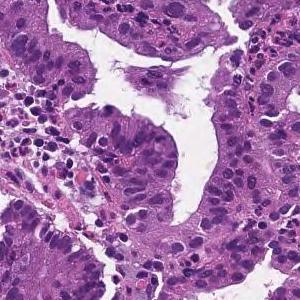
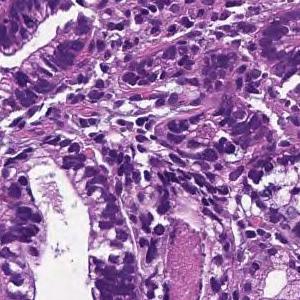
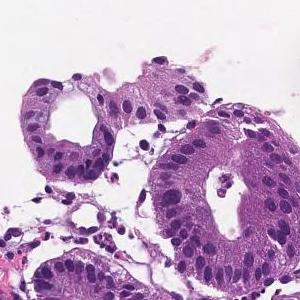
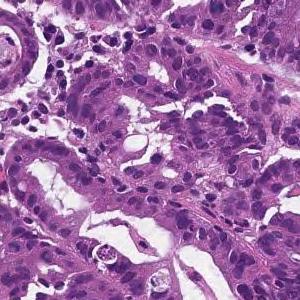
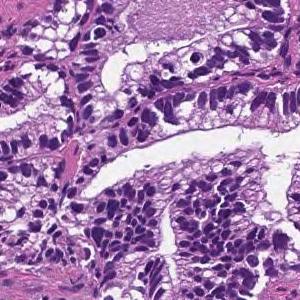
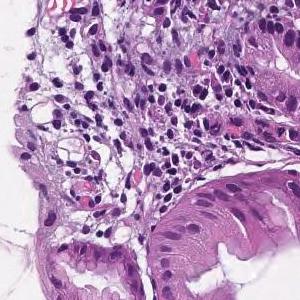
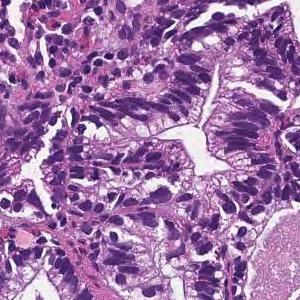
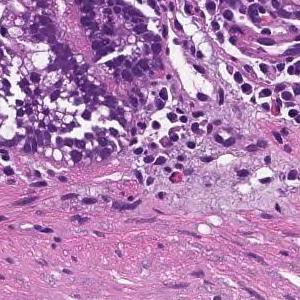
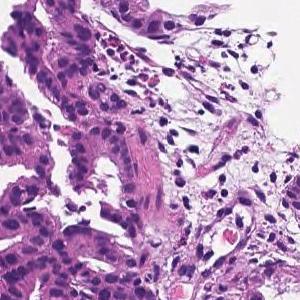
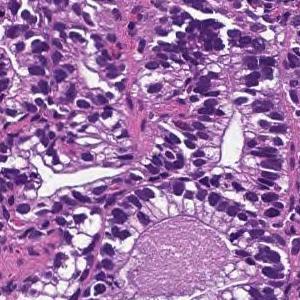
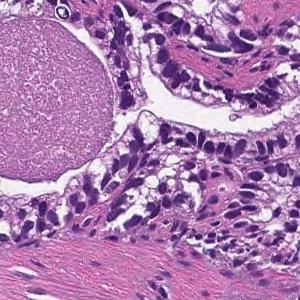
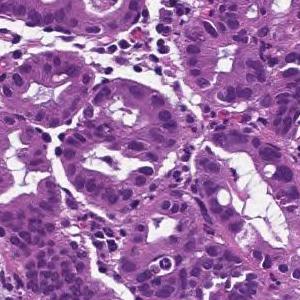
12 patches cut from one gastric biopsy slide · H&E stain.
The pathologist's report on the biopsy slide these tiles were taken from. The report describes the whole slide, diagnosis included: not every finding it names need appear in these tiles, which may also show non-tumor tissue.
From the superficial epithelium to the muscularis mucosae, tumor tissue consisting of medium-sized and irregular glandular ducts infiltrating is observed. Well differentiated tubular adenocarcinoma
